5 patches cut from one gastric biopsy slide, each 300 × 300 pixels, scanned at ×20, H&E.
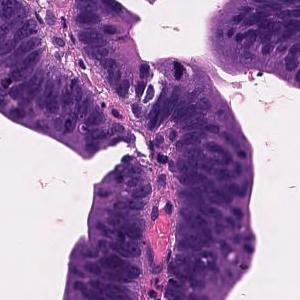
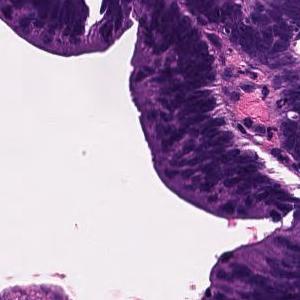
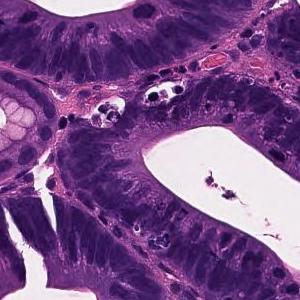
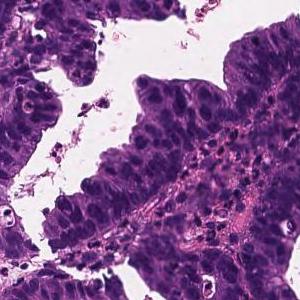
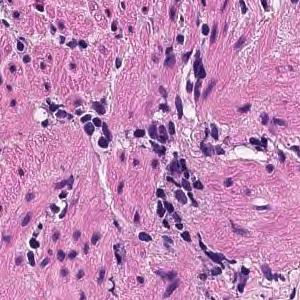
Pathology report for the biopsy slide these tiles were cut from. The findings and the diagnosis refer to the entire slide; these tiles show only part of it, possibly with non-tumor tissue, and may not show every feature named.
Tumor tissue consisting of large papillary structures is found in the superficial epithelium. Papillary adenocarcinoma.
